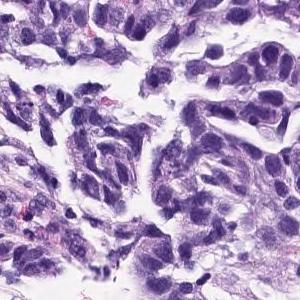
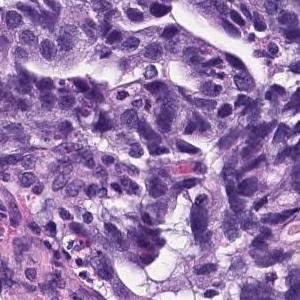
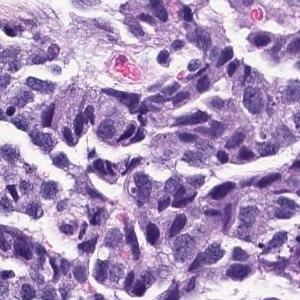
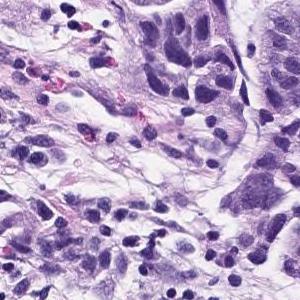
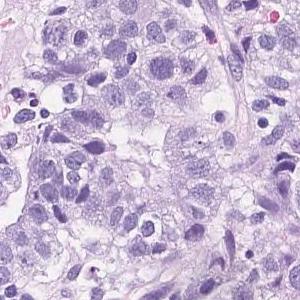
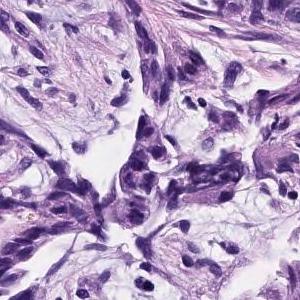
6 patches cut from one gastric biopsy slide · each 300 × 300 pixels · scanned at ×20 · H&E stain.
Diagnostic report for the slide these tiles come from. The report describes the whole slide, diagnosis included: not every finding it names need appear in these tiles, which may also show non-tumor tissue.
Atypical epithelial cells with an increased N/C ratio proliferate and consist of a part that shows the formation of gland ducts and a part that shows solid growth. Poorly differentiated adenocarcinoma, solid-type
Histological subtype: Poorly differentiated adenocarcinoma, solid type (Japanese Classification of Gastric Carcinoma). The WHO 2019 equivalent is tubular adenocarcinoma, poorly differentiated.
